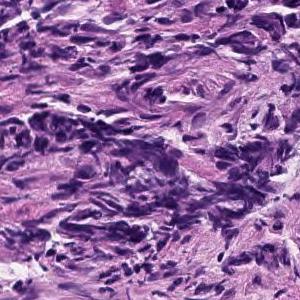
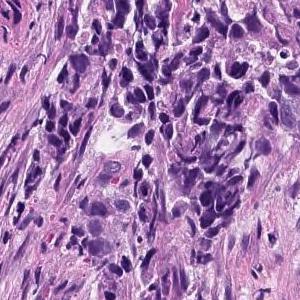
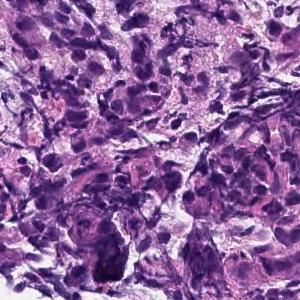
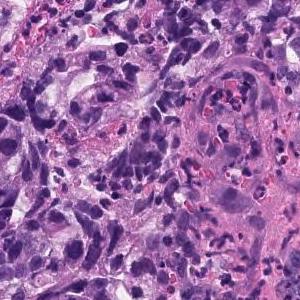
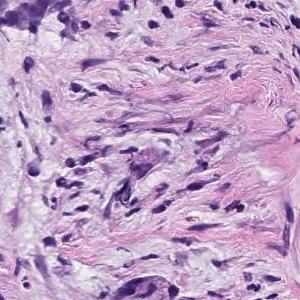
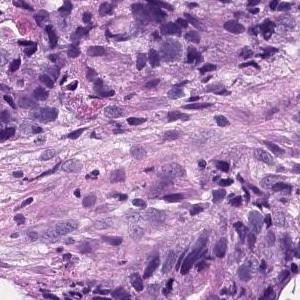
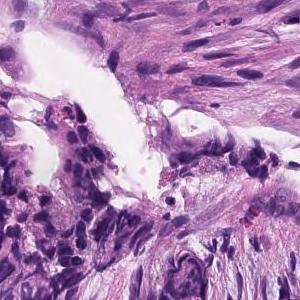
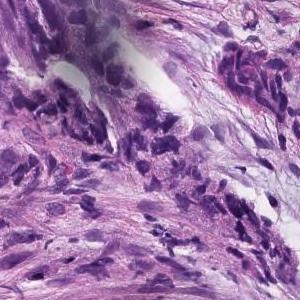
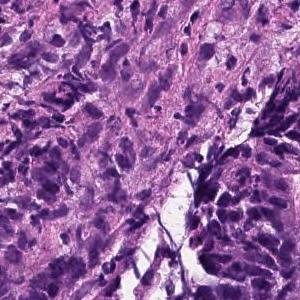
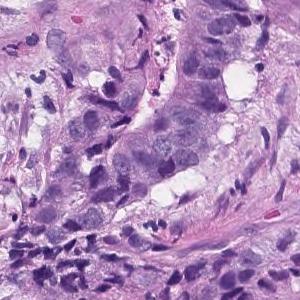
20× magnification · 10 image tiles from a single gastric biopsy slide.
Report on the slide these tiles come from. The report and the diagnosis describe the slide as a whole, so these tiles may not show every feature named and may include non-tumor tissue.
Medium to small, irregular glandular ducts are formed in the superficial epithelium, and in some cases, the glandular ducts are fused to show solid alveolar lesions and infiltrating tumor tissue is observed. Moderately to poorly differentiated adenocarcinoma.
